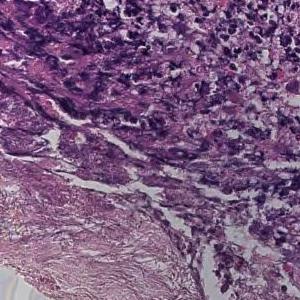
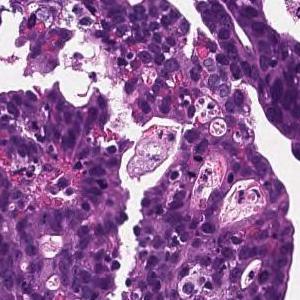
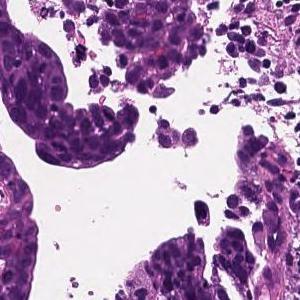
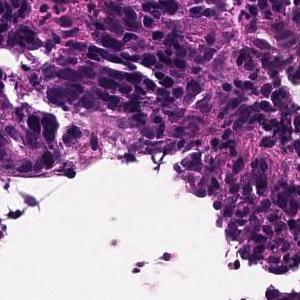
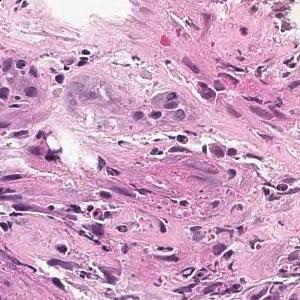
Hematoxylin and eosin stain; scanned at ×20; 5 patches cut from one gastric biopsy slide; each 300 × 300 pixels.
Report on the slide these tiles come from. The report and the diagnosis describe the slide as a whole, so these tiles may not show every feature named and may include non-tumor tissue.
In the superficial epithelium, tumor tissue that invades by forming medium-sized to small, irregular ducts is observed. moderately differentiated tubular adenocarcinoma.
